12 patches cut from one gastric biopsy slide; 300×300 px each; H&E.
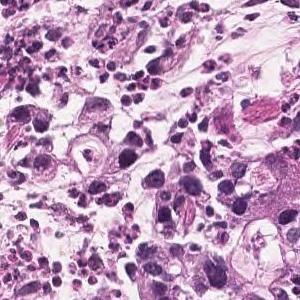
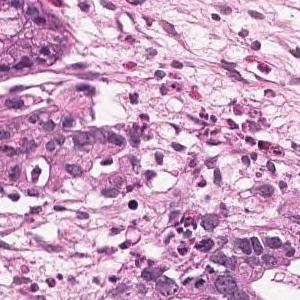
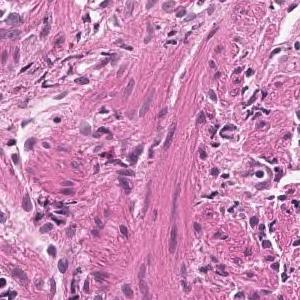
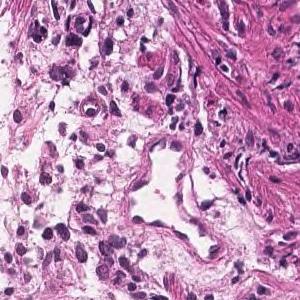
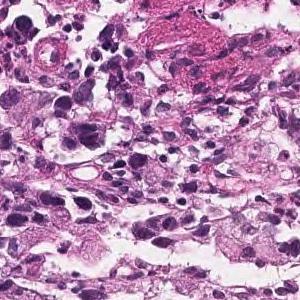
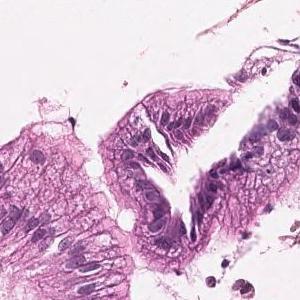
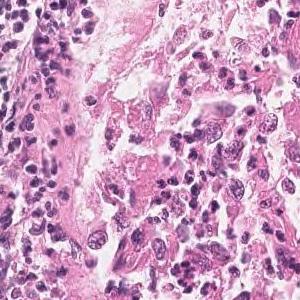
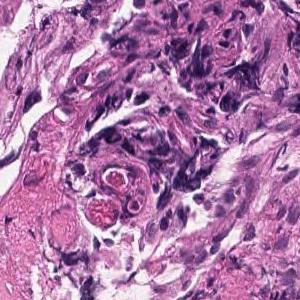
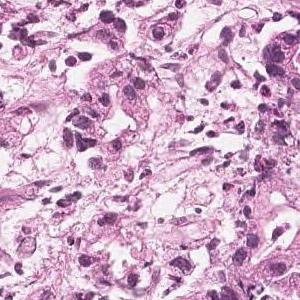
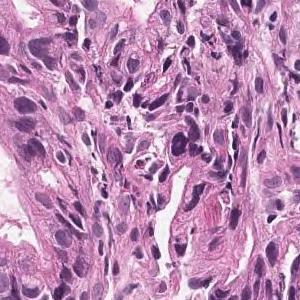
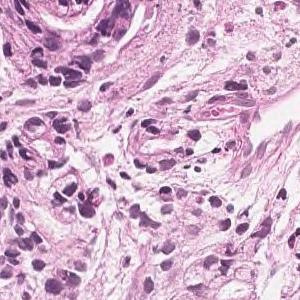
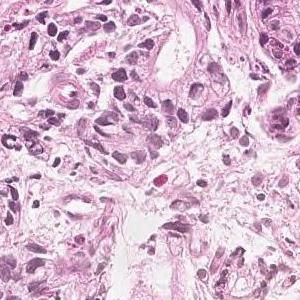
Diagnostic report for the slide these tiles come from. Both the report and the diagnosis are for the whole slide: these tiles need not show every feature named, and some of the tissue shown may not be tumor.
In the superficial epithelium, medium to small irregular gland ducts are formed, and in some cases, the ducts are fused to show solid alveolar lesions and infiltrating tumor tissue is observed. Moderately to poorly differentiated adenocarcinoma
